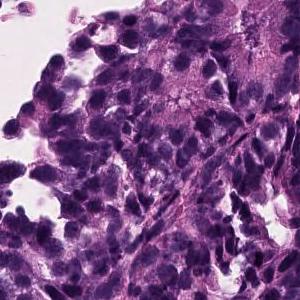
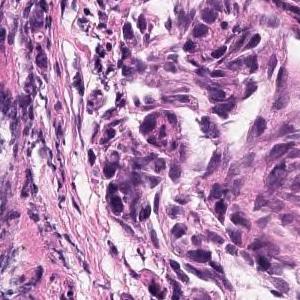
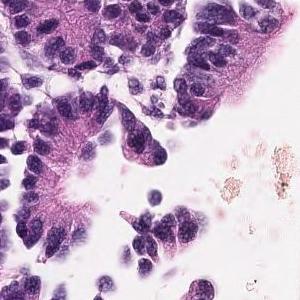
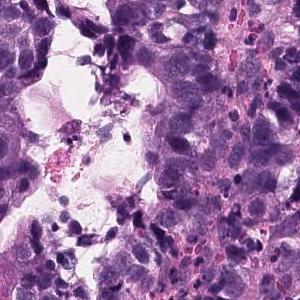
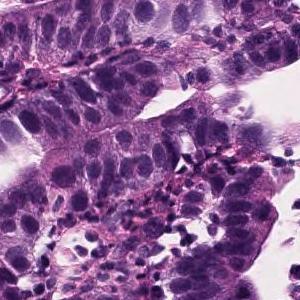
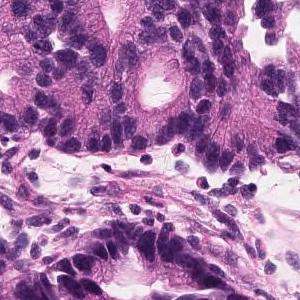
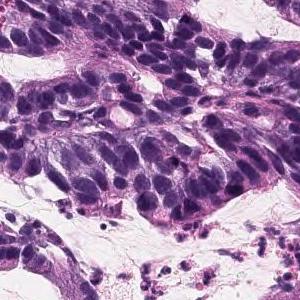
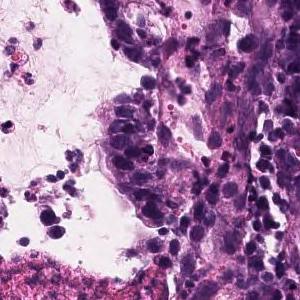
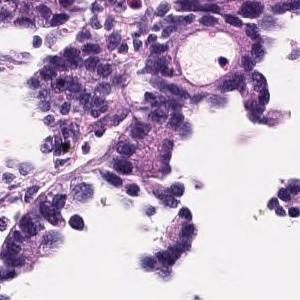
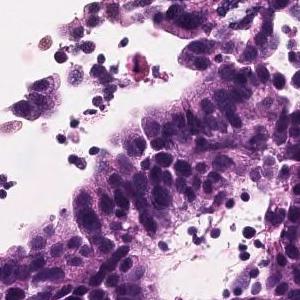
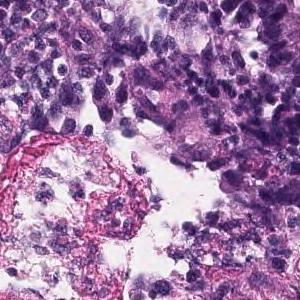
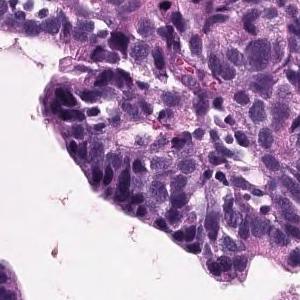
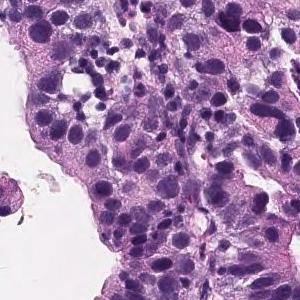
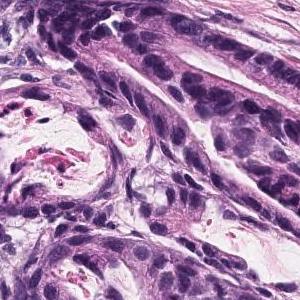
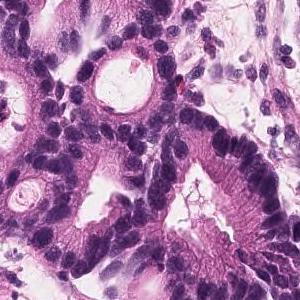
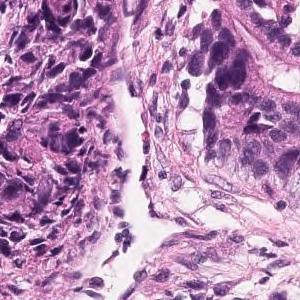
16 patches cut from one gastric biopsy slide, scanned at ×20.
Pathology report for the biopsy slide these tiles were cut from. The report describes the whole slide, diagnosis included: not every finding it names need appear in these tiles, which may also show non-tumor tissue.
In the superficial epithelium, tumor tissue that invades by forming medium-sized to small, irregular ducts is observed. moderately differentiated tubular adenocarcinoma.
